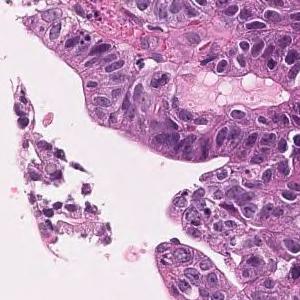
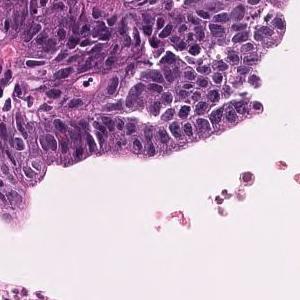
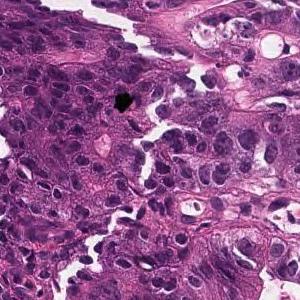
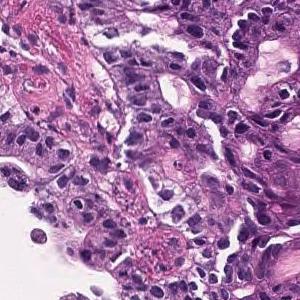
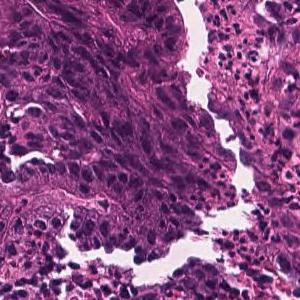
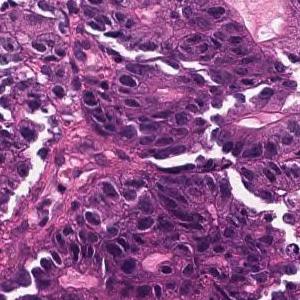
6 tiles from the same stomach biopsy slide, 300 × 300 pixels each, H&E.
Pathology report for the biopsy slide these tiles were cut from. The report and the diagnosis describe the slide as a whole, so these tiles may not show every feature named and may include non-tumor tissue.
In the superficial epithelium, tumor tissue that invades by forming medium-sized to small, irregular ducts is observed. Well differentiated tubular adenocarcinoma.
